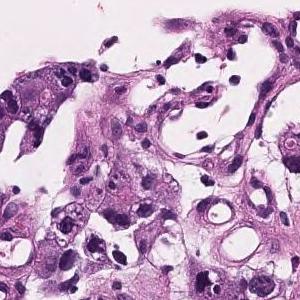
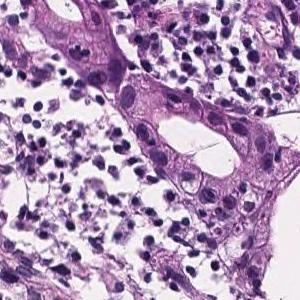
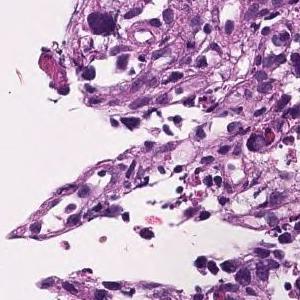
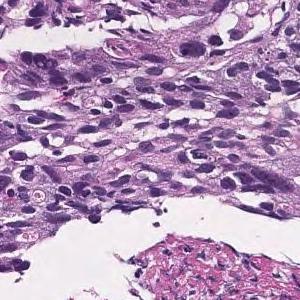
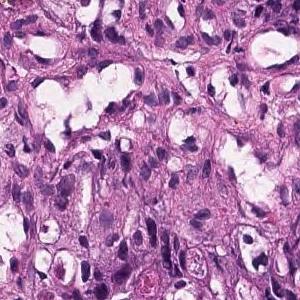
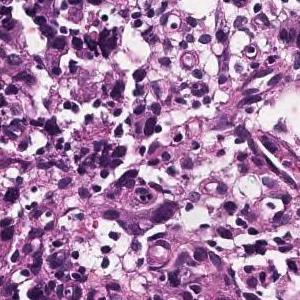
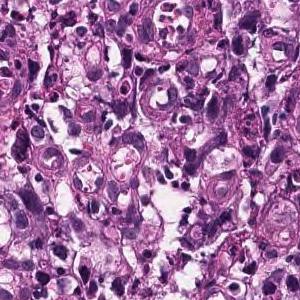
7 patches cut from one gastric biopsy slide, 300 × 300 pixels each, hematoxylin and eosin stain.
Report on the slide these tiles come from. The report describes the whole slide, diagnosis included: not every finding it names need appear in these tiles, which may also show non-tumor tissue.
Tumor tissue consisting of medium-sized, cord-like or irregular glandular infiltration is observed in the superficial epithelium. Poorly differentiated adenocarcinoma, non-solid type or moderately differentiated tubular adenocarcinoma
"Non-solid type" is a category of the Japanese Classification of Gastric Carcinoma.
